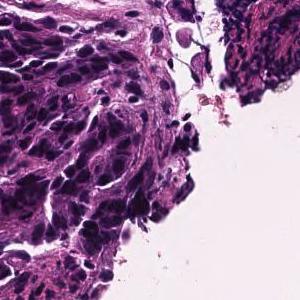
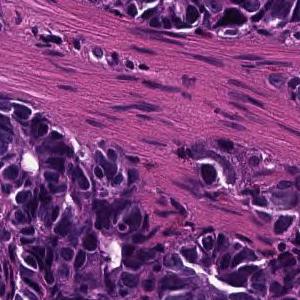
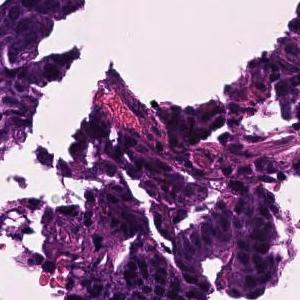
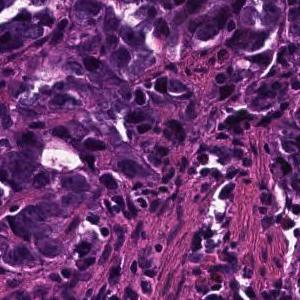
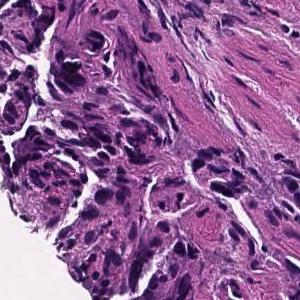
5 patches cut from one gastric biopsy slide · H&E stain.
The pathologist's report on the biopsy slide these tiles were taken from. The report and the diagnosis cover the entire slide, so not every feature they name need be visible here, and some tissue shown may not be tumor.
In the superficial epithelium, tumor tissue that invades by forming medium-sized to small, irregular ducts is observed. moderately differentiated tubular adenocarcinoma.
